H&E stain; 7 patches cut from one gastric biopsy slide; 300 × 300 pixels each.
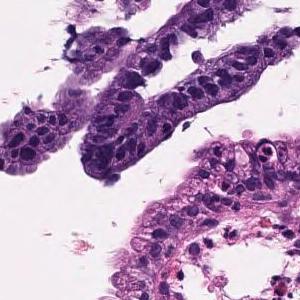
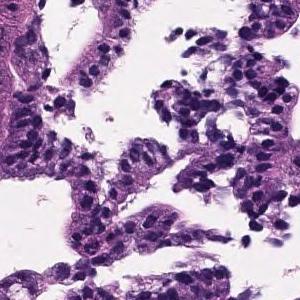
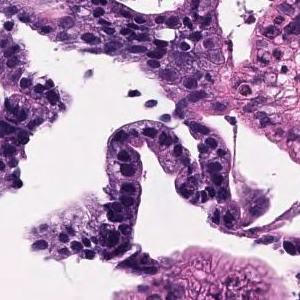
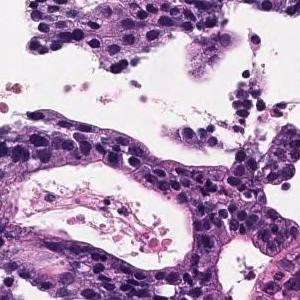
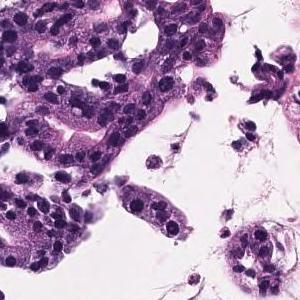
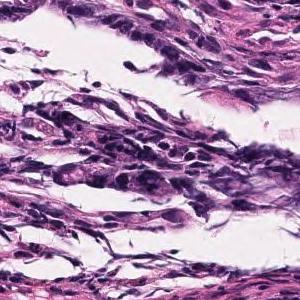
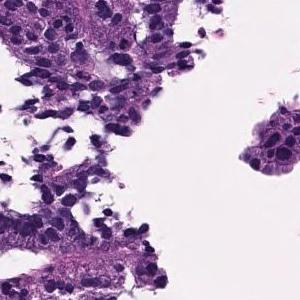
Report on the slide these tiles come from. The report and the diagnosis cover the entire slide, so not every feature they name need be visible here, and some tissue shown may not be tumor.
The outermost layer of the gastric mucosa shows an irregular bridging pattern and atypical epithelium that proliferates in a papillary manner. moderately differentiated tubular adenocarcinoma, Papillary adenocarcinoma
Dataset label: moderately differentiated tubular adenocarcinoma.
